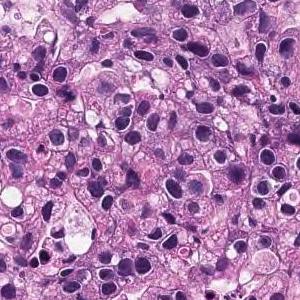
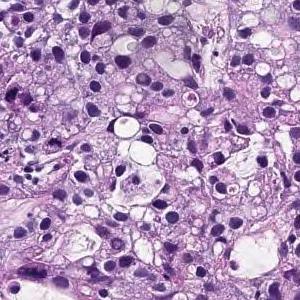
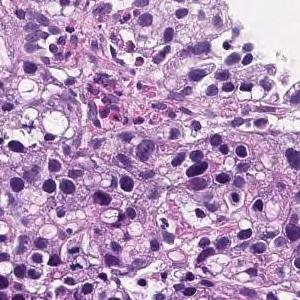
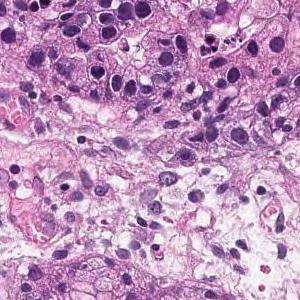
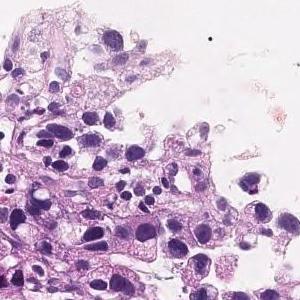
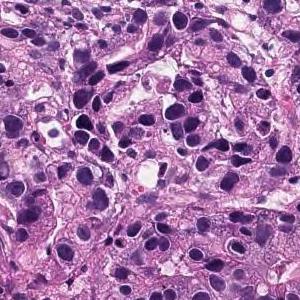
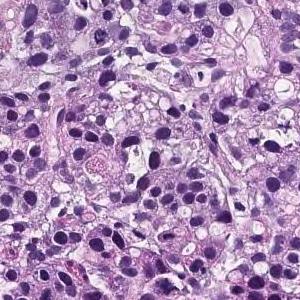
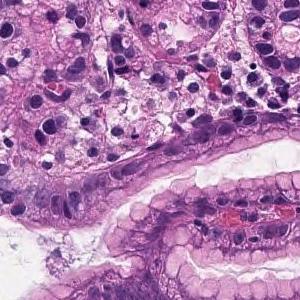
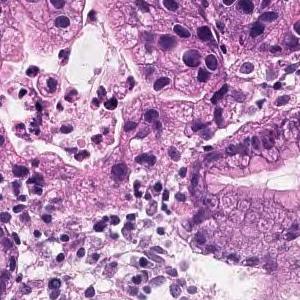
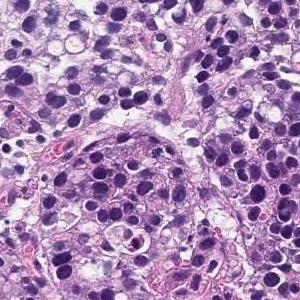
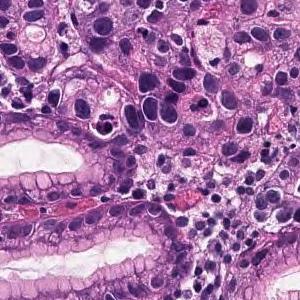
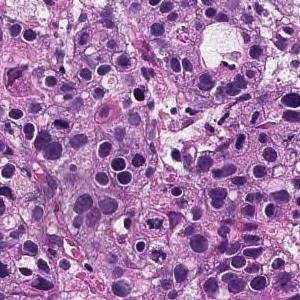
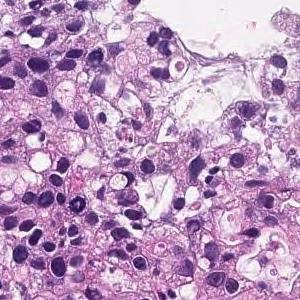
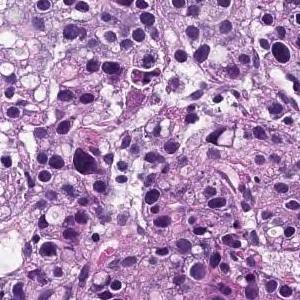
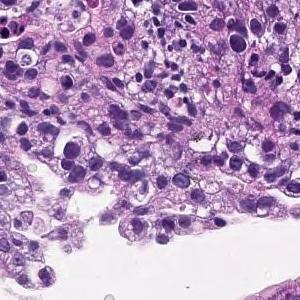
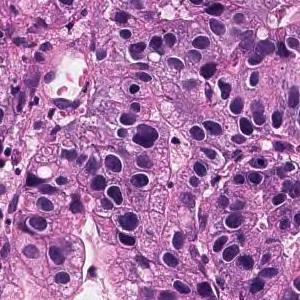
Scanned at ×20, H&E stain, 16 tiles from the same stomach biopsy slide, 300×300 px each.
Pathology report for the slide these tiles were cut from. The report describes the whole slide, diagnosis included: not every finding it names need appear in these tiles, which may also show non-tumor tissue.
In the superficial epithelium, tumor tissue that invades by forming medium-sized to small, irregular ducts is observed. moderately differentiated tubular adenocarcinoma.
